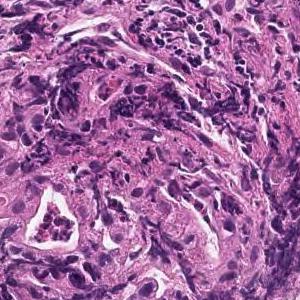
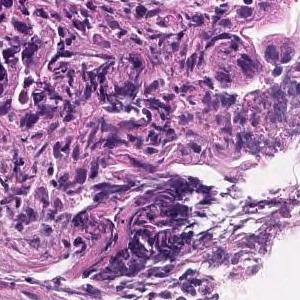
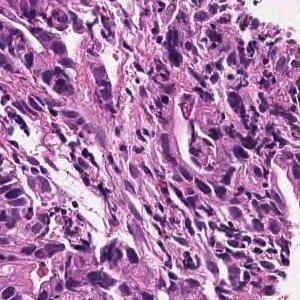
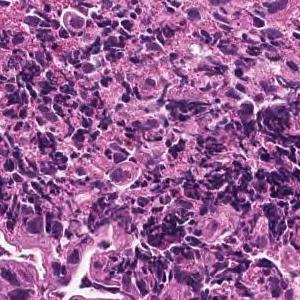
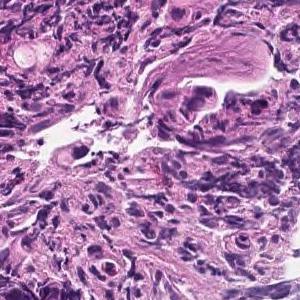
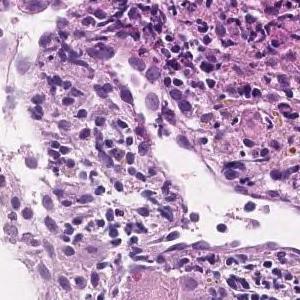
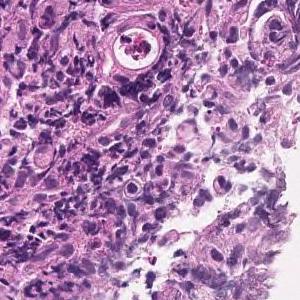
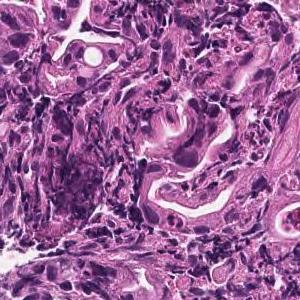
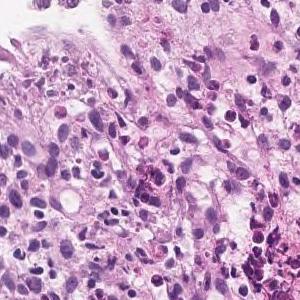
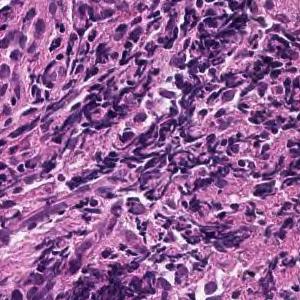
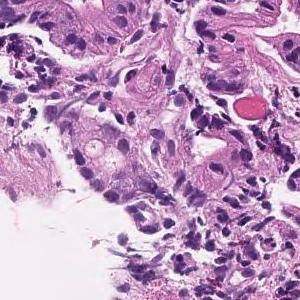
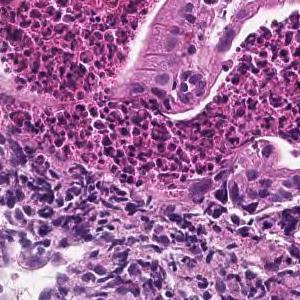
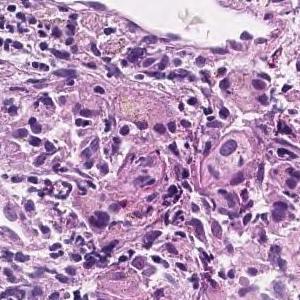
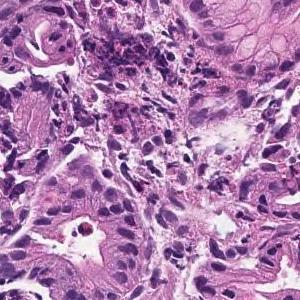
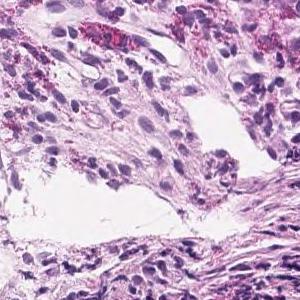
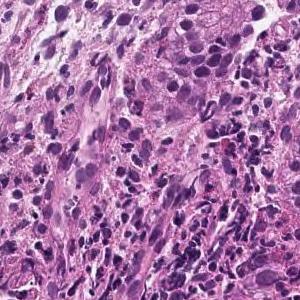
Scanned at ×20; hematoxylin and eosin stain; 16 image tiles from a single gastric biopsy slide.
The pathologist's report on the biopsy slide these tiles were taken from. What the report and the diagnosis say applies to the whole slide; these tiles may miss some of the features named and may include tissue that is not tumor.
In the superficial epithelium, tumor tissue that invades by forming medium-sized to small, irregular ducts is observed. moderately differentiated tubular adenocarcinoma.
